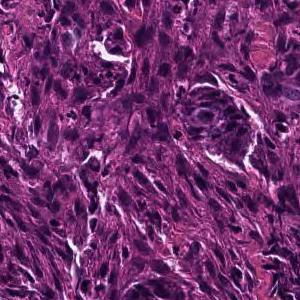
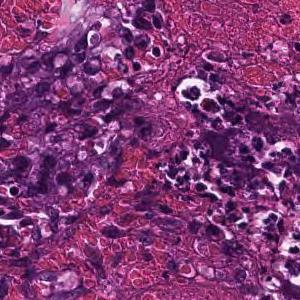
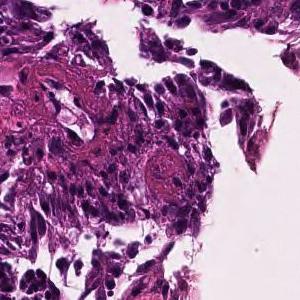
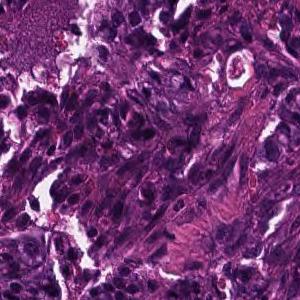
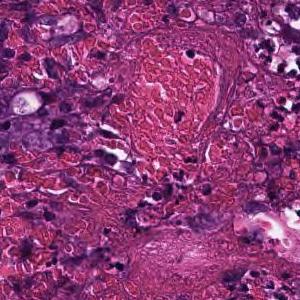
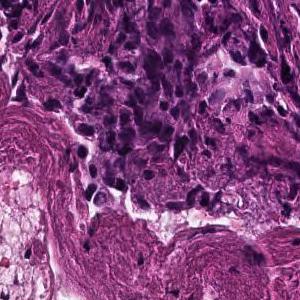
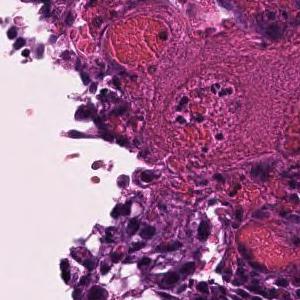
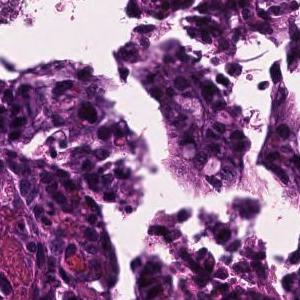
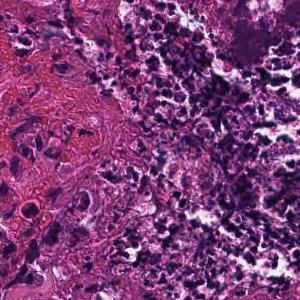
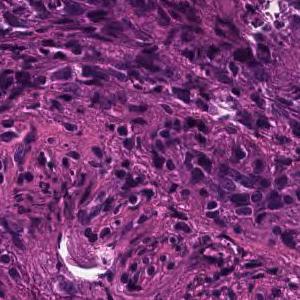
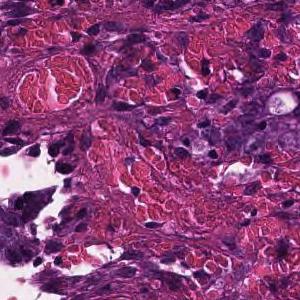
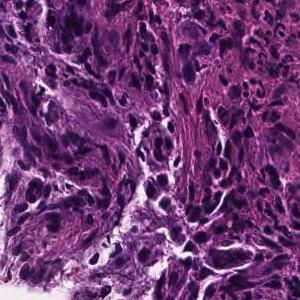
12 image tiles from a single gastric biopsy slide; H&E stain; 20× magnification.
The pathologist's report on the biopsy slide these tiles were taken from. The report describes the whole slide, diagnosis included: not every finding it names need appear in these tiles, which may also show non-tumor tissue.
Tumor tissue consisting of medium-sized, cord-like or irregular glandular infiltration is observed in the superficial epithelium. Poorly differentiated adenocarcinoma, non-solid type or moderately differentiated tubular adenocarcinoma
Tumor subtype: moderately to poorly differentiated adenocarcinoma.
"Non-solid type" is a category of the Japanese Classification of Gastric Carcinoma.
